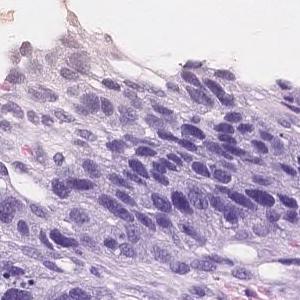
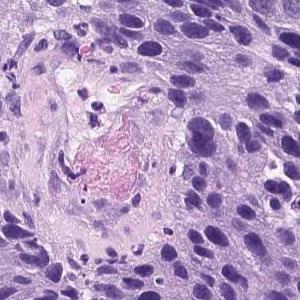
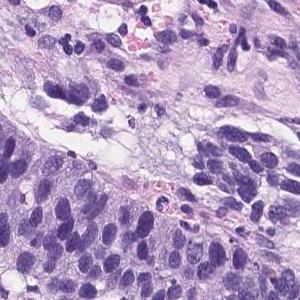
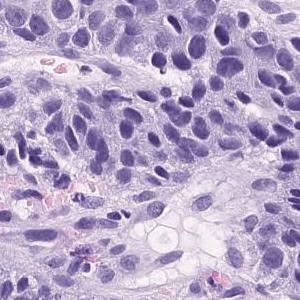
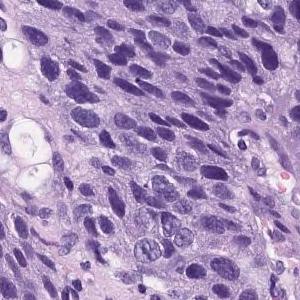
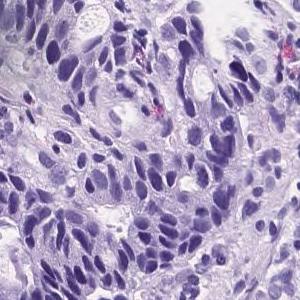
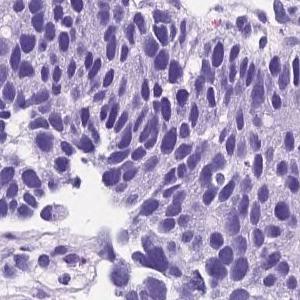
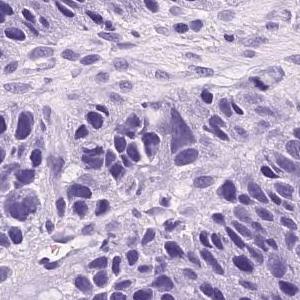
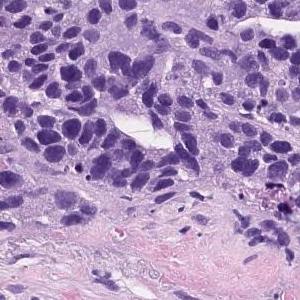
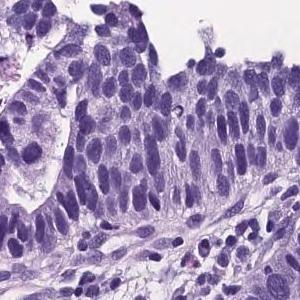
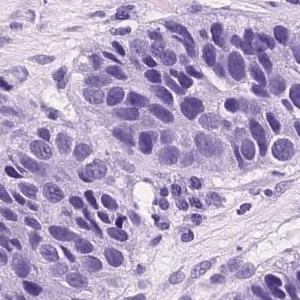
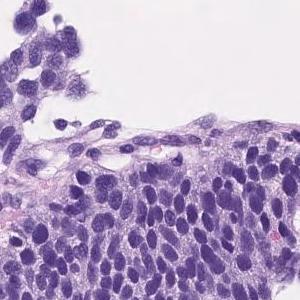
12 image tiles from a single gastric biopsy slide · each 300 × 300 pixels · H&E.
Diagnostic report for the slide these tiles come from. What the report and the diagnosis say applies to the whole slide; these tiles may miss some of the features named and may include tissue that is not tumor.
Atypical cells with atypical nuclei forming small irregular atypical ducts and growing in a conformative manner. moderately differentiated tubular adenocarcinoma
Labeled in the dataset as moderately to poorly differentiated adenocarcinoma.
